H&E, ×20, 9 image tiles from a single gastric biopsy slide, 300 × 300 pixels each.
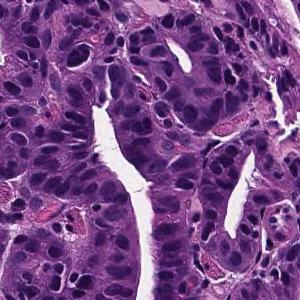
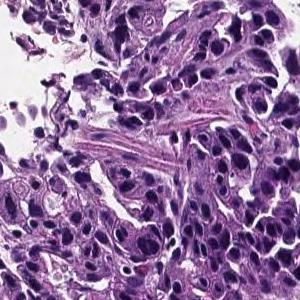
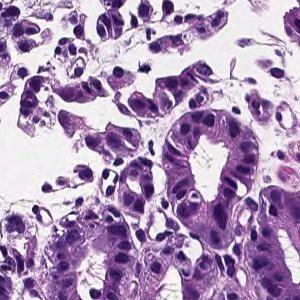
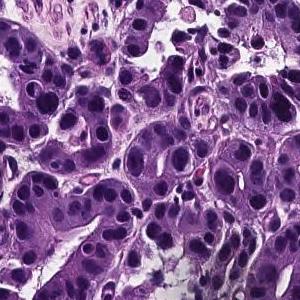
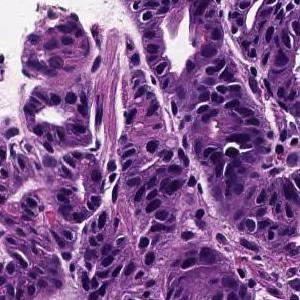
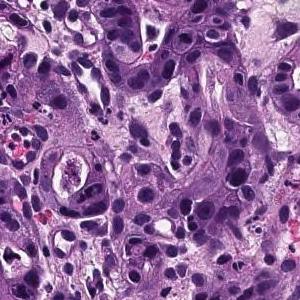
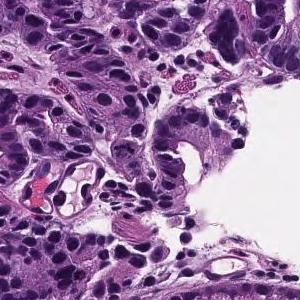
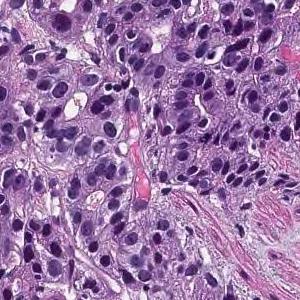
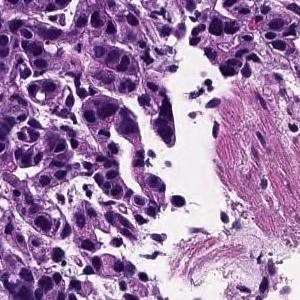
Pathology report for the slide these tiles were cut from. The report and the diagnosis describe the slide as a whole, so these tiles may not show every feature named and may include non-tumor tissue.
From the superficial epithelium to the muscularis mucosae, tumor tissue consisting of medium-sized and irregular glandular ducts infiltrating is observed. Well differentiated tubular adenocarcinoma
